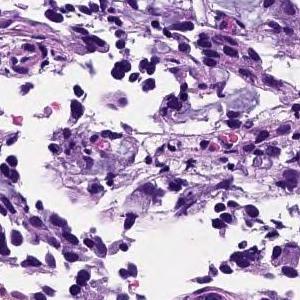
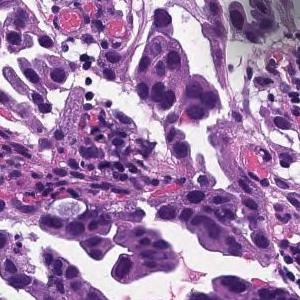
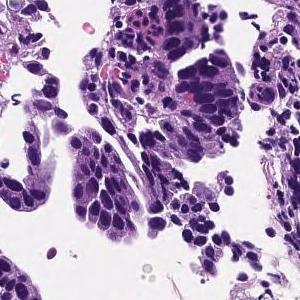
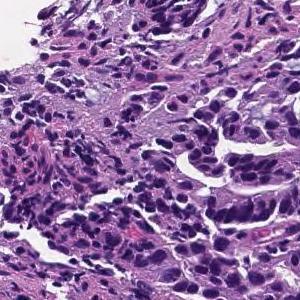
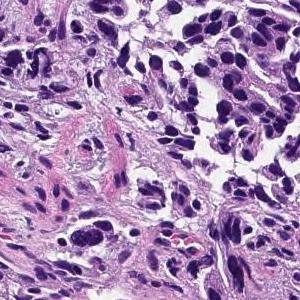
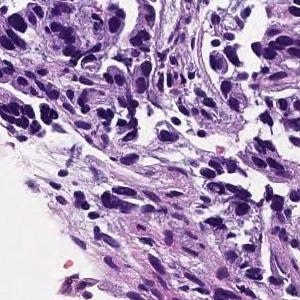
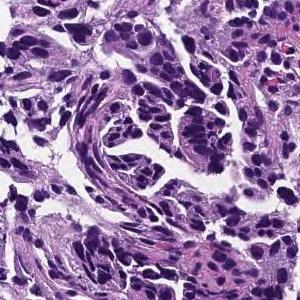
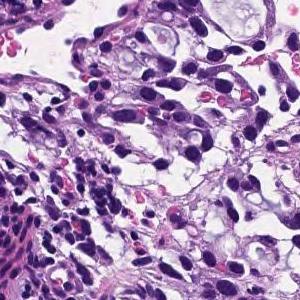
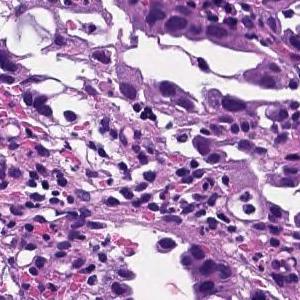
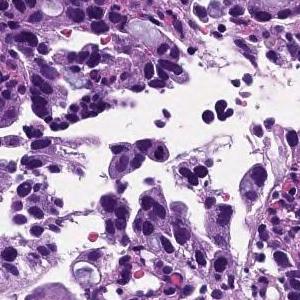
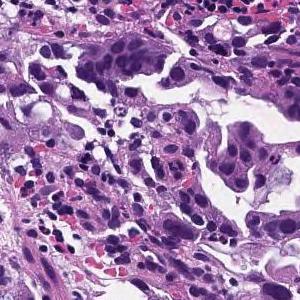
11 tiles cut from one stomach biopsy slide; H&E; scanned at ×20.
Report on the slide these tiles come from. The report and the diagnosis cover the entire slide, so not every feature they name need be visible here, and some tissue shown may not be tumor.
Tumor tissue consisting of medium-sized, cord-like or irregular glandular infiltration is observed in the superficial epithelium. Poorly differentiated adenocarcinoma, non-solid type or moderately differentiated tubular adenocarcinoma
Classified as moderately to poorly differentiated adenocarcinoma.
The term "non-solid type" comes from the Japanese Classification of Gastric Carcinoma.
